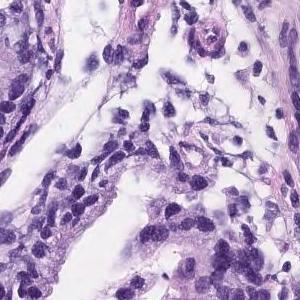
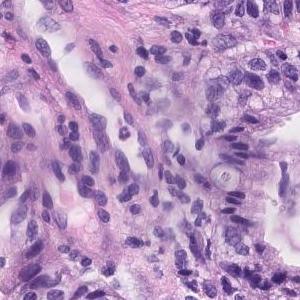
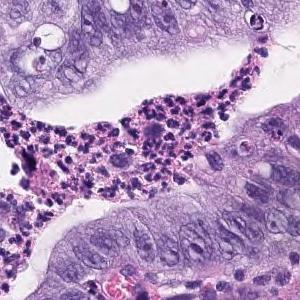
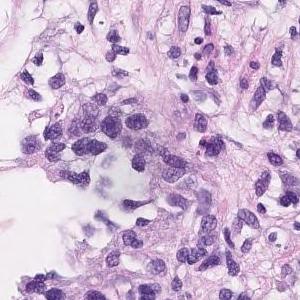
4 patches cut from one gastric biopsy slide, 300×300 px each, 20× magnification.
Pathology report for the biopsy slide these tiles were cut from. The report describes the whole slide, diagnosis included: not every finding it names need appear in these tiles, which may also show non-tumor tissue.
Tumor cells are large, highly columnar, large club-shaped nuclei, and are associated with chromatin aggregation. Papillary adenocarcinoma.
